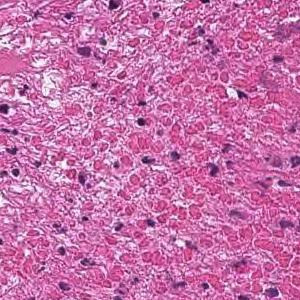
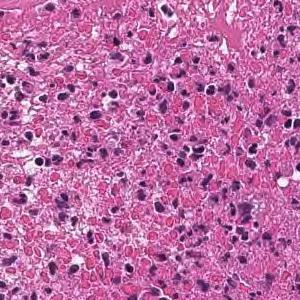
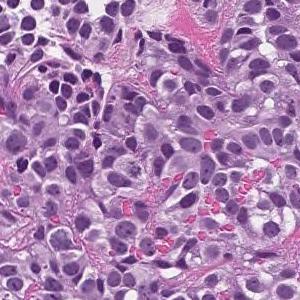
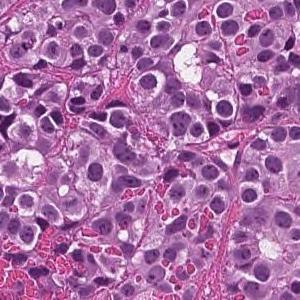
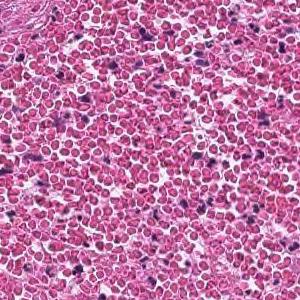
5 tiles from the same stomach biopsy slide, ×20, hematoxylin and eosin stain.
The pathologist's report on the biopsy slide these tiles were taken from. The findings and the diagnosis refer to the entire slide; these tiles show only part of it, possibly with non-tumor tissue, and may not show every feature named.
The superficial epithelium shows a large sheet-like shape, and some tumor tissue infiltrates with small irregular ducts. Poorly differentiated adenocarcinoma, solid-type
Tumor subtype: poorly differentiated adenocarcinoma, solid type. This name comes from the Japanese Classification of Gastric Carcinoma; the WHO 2019 classification calls it tubular adenocarcinoma, poorly differentiated.
